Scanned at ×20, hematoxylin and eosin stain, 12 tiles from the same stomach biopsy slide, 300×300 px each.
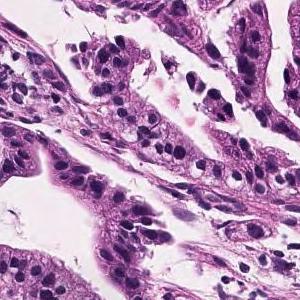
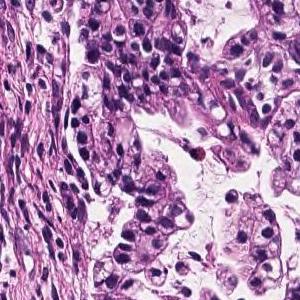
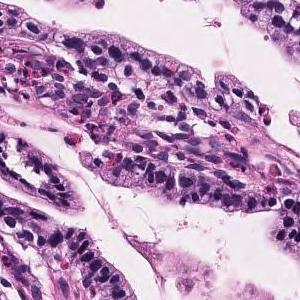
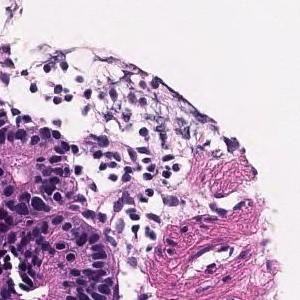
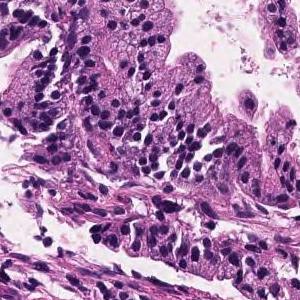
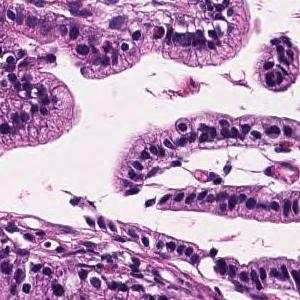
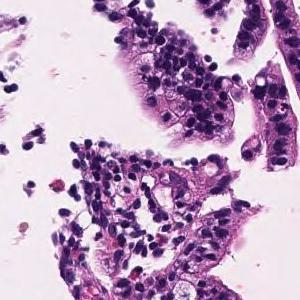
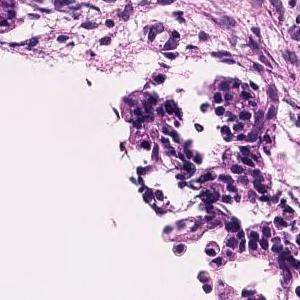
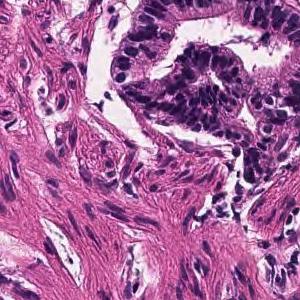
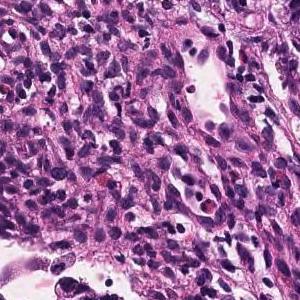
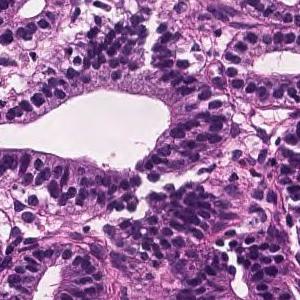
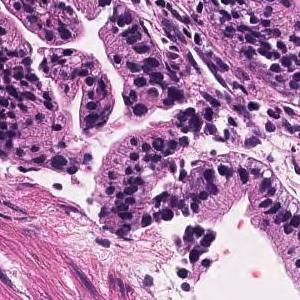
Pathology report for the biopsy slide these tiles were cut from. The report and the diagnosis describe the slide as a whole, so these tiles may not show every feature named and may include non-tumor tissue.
Tumor tissue consisting of large papillary structures or irregular glandular ducts partially fused and infiltrated is observed in the superficial epithelium. Well to moderately differentiated tubular adenocarcinoma.
The dataset labels this slide moderately differentiated tubular adenocarcinoma.
